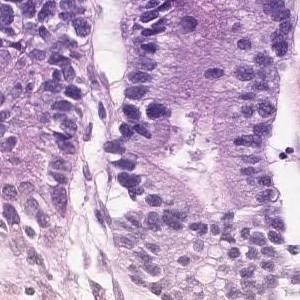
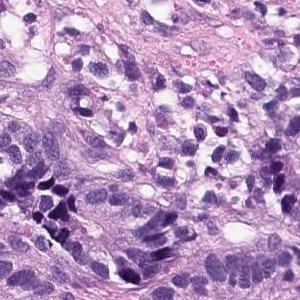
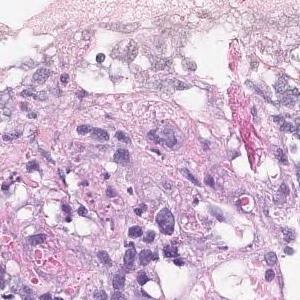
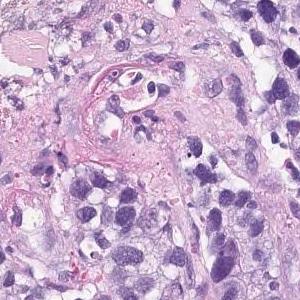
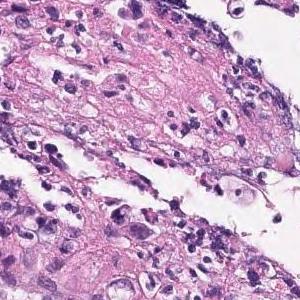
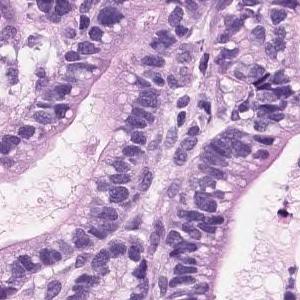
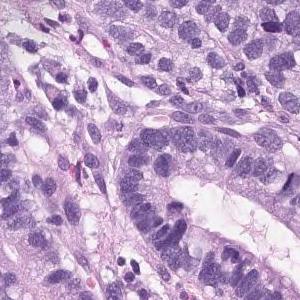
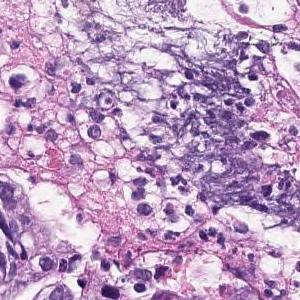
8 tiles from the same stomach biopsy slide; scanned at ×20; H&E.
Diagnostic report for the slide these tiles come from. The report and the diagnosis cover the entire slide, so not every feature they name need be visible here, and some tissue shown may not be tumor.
Hyperplasia of atypical epithelial cells with swelling of the nucleus is observed. Moderately diffentiated tubular adenocarcinoma
Histological subtype: Moderately differentiated tubular adenocarcinoma.
